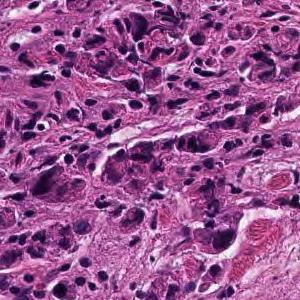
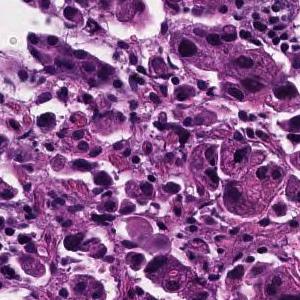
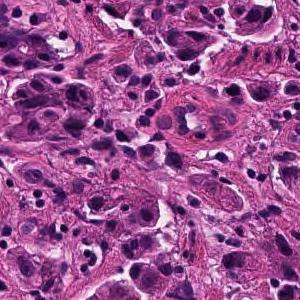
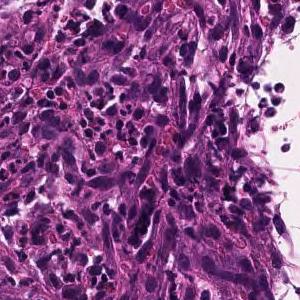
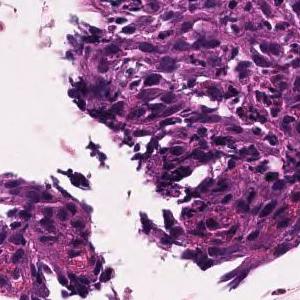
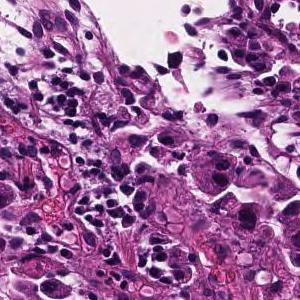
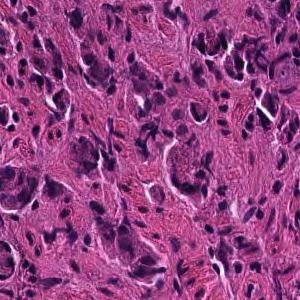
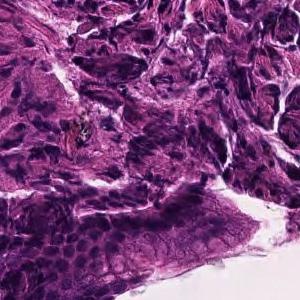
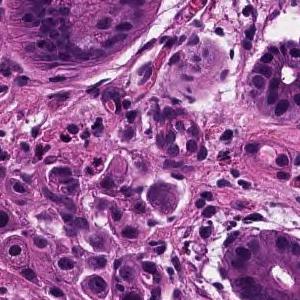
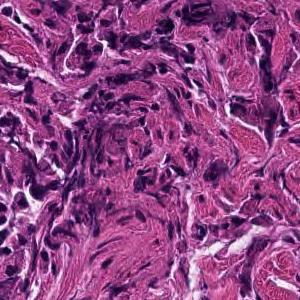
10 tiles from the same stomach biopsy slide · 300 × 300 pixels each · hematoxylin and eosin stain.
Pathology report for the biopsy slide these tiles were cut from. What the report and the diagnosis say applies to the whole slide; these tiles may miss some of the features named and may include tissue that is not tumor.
Tumor tissue consisting of cord-like or small, irregular glandular ducts fused and infiltrated is observed in the superficial epithelium. Poorly differentiated adenocarcinoma, non-solid type
The non-solid type named here is a Japanese Classification of Gastric Carcinoma category.
